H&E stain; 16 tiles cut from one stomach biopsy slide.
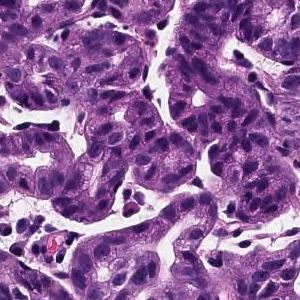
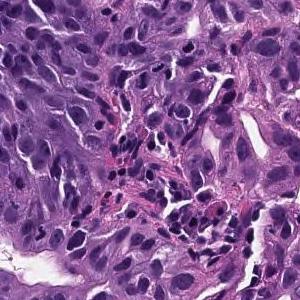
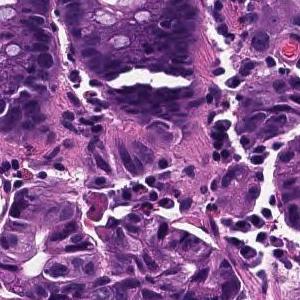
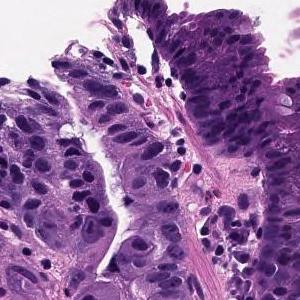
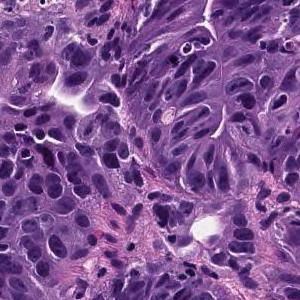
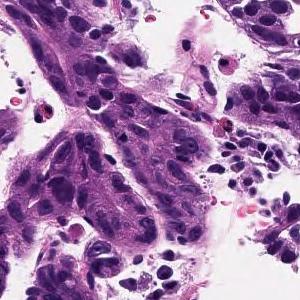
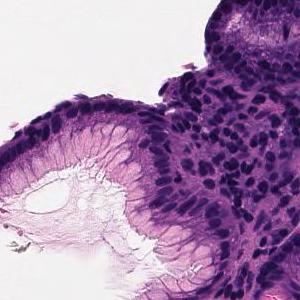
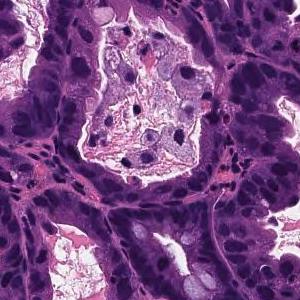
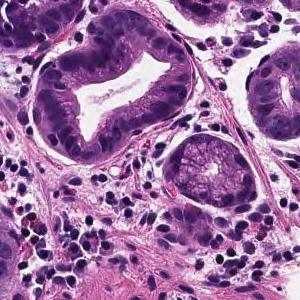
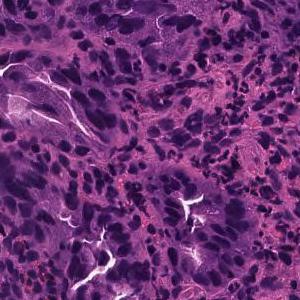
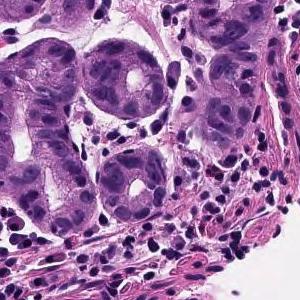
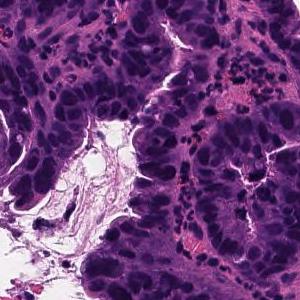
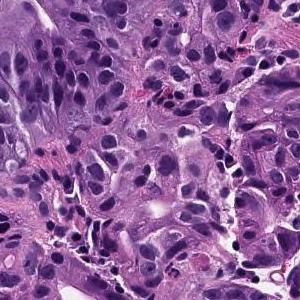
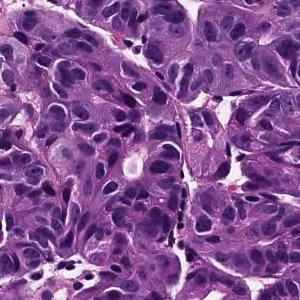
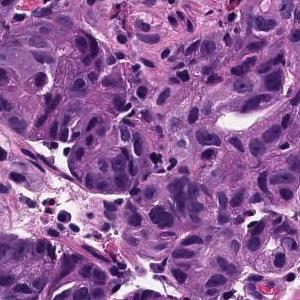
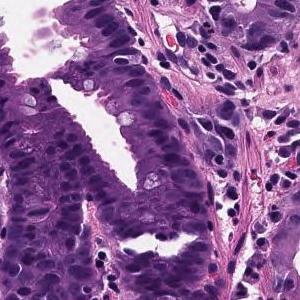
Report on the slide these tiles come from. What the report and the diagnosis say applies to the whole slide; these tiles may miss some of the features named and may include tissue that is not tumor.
On the superficial epithelium, tumor tissue consisting of large irregular glandular ducts partially fused and infiltrated is observed. Well to moderately differentiated tubular adenocarcinoma (well differentiated tubular adenocarcinoma, moderately differentiated tubular adenocarcinoma)
Tumor subtype: well to moderately differentiated tubular adenocarcinoma.
